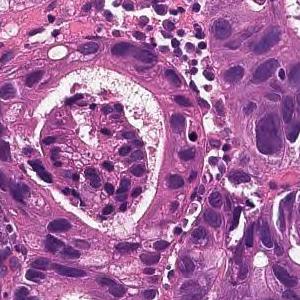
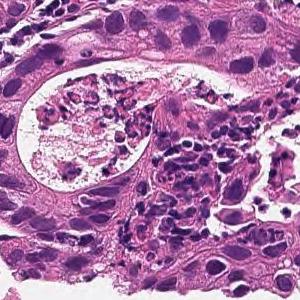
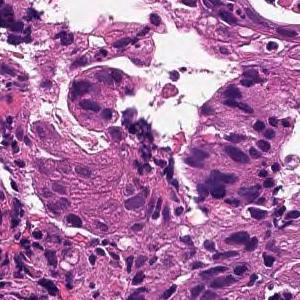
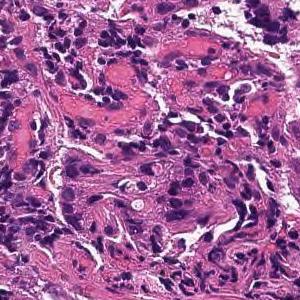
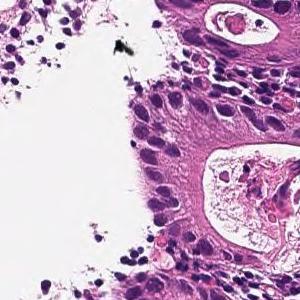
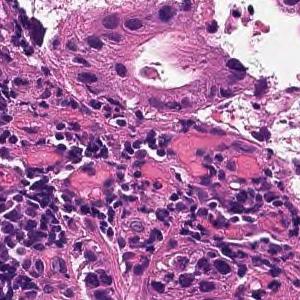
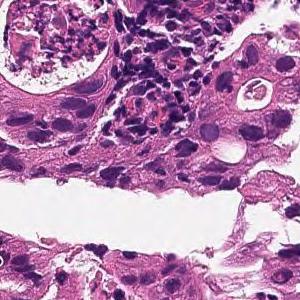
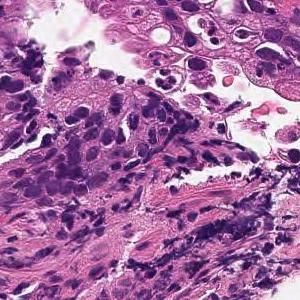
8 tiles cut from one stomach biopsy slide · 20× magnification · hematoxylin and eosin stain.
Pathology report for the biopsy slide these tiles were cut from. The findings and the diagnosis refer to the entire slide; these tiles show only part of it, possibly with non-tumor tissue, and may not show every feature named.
From the superficial epithelium to the muscularis mucosae, tumor tissue consisting of medium-sized and irregular glandular ducts infiltrating is observed. Well differentiated tubular adenocarcinoma
